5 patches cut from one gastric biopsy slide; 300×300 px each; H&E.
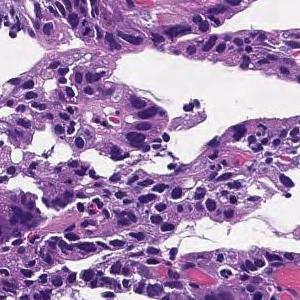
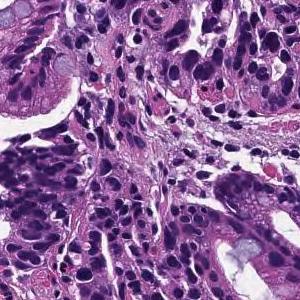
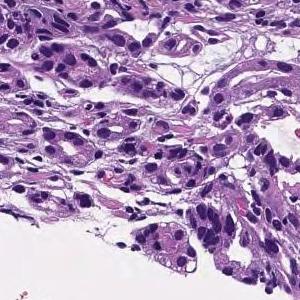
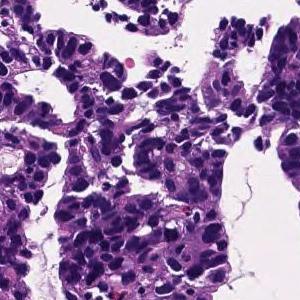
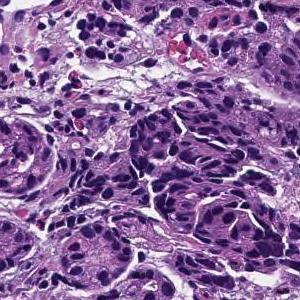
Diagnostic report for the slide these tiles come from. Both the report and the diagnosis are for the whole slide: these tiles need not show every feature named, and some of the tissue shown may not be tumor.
Tumor cells are large, highly columnar, large club-shaped nuclei, and are associated with chromatin aggregation. Papillary adenocarcinoma.
